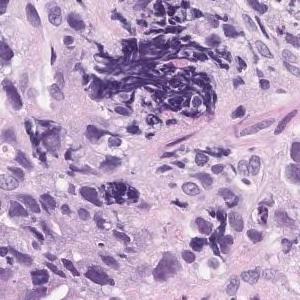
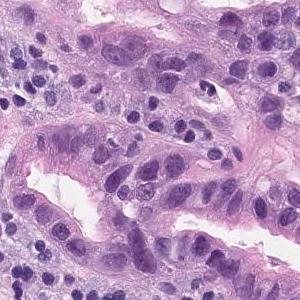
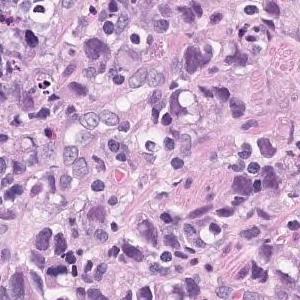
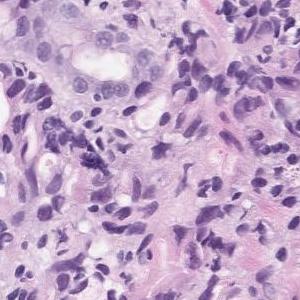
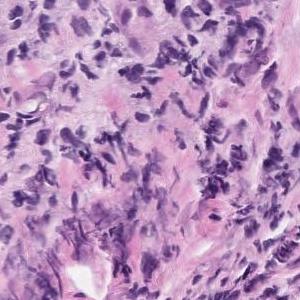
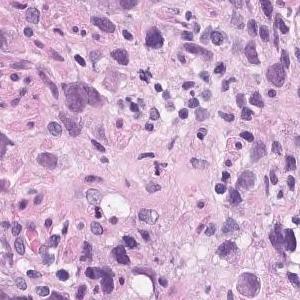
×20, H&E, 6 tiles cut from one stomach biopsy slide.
Diagnostic report for the slide these tiles come from. The report and the diagnosis cover the entire slide, so not every feature they name need be visible here, and some tissue shown may not be tumor.
Tumor tissue consisting of medium-sized, cord-like or irregular glandular infiltration is observed in the superficial epithelium. Poorly differentiated adenocarcinoma, non-solid type or moderately differentiated tubular adenocarcinoma
Labeled in the dataset as poorly differentiated adenocarcinoma, non-solid type.
"Non-solid type" is a category of the Japanese Classification of Gastric Carcinoma.
